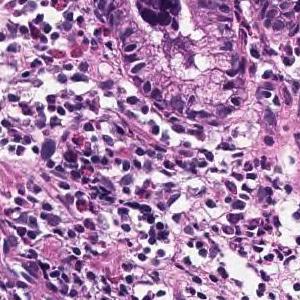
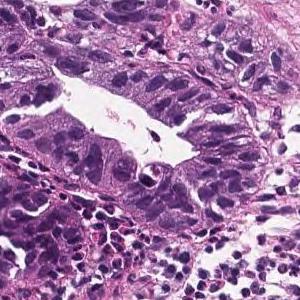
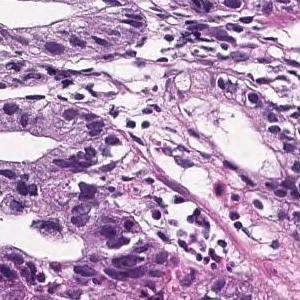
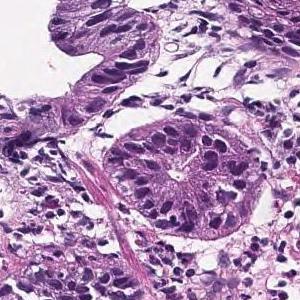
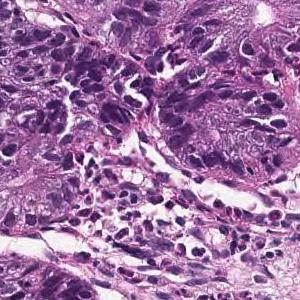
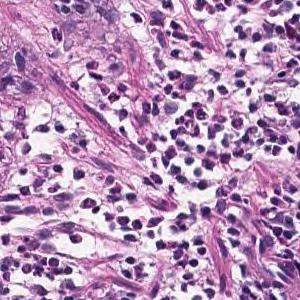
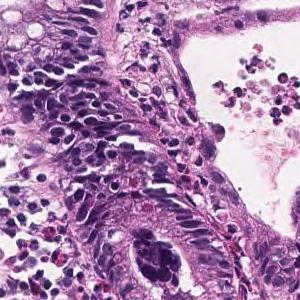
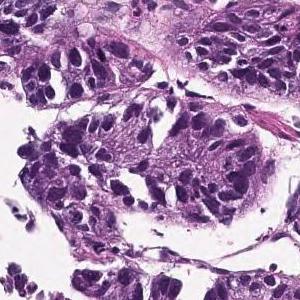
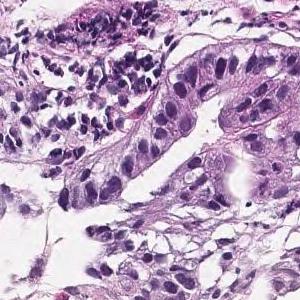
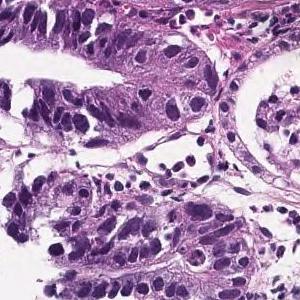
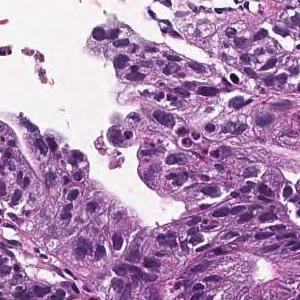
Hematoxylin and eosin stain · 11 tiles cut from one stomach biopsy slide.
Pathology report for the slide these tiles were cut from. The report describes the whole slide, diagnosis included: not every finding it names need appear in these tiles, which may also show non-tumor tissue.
Tumor cells are large, highly columnar, large club-shaped nuclei, and are associated with chromatin aggregation. Papillary adenocarcinoma.
